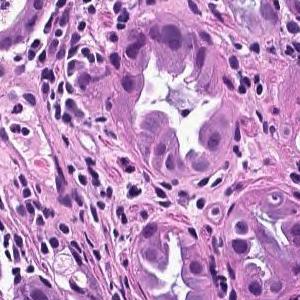
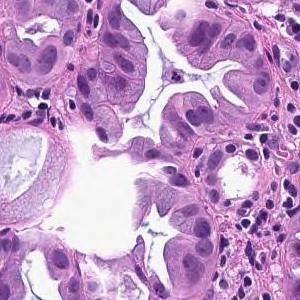
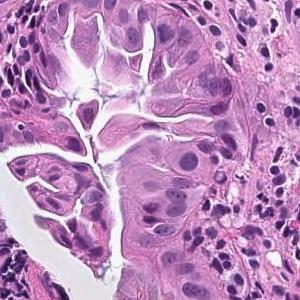
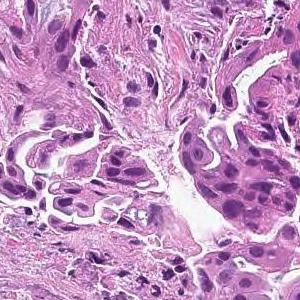
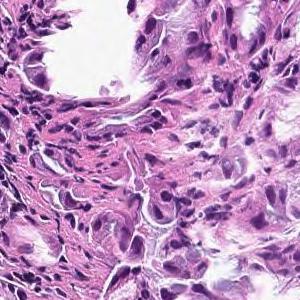
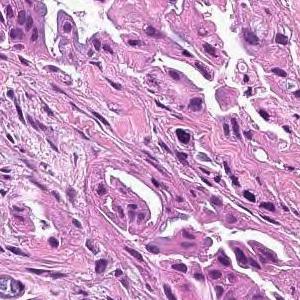
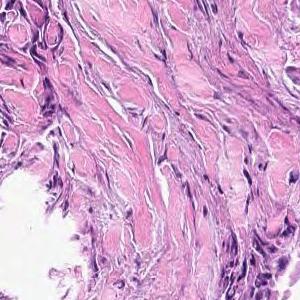
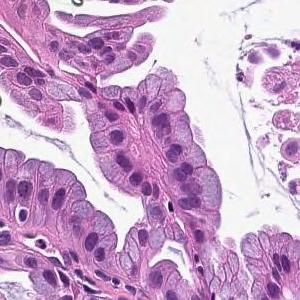
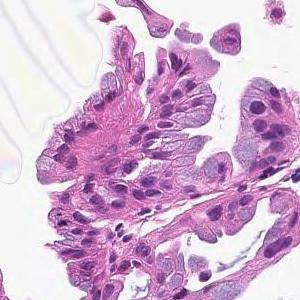
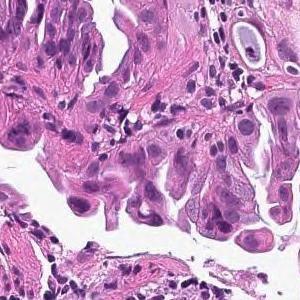
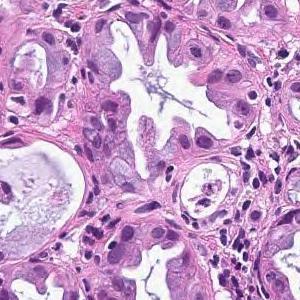
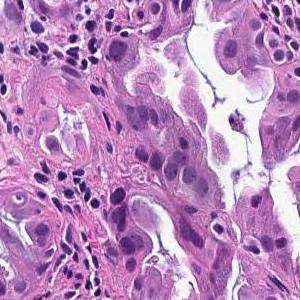
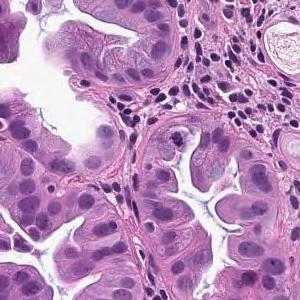
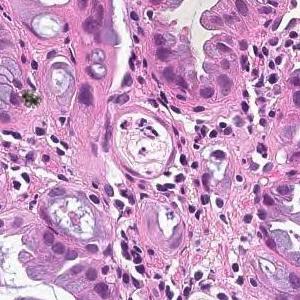
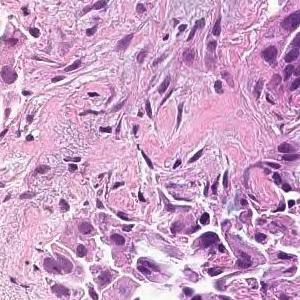
15 image tiles from a single gastric biopsy slide, H&E.
Report on the slide these tiles come from. What the report and the diagnosis say applies to the whole slide; these tiles may miss some of the features named and may include tissue that is not tumor.
From the superficial epithelium to the muscularis mucosae, tumor tissue consisting of medium-sized and irregular glandular ducts infiltrating is observed. Well differentiated tubular adenocarcinoma
